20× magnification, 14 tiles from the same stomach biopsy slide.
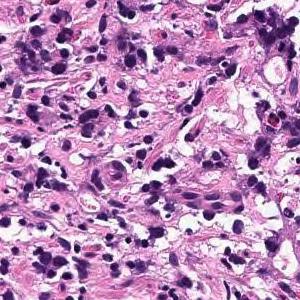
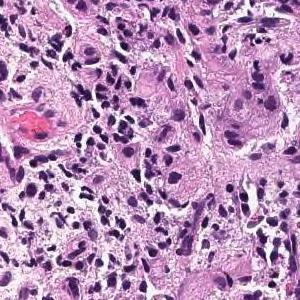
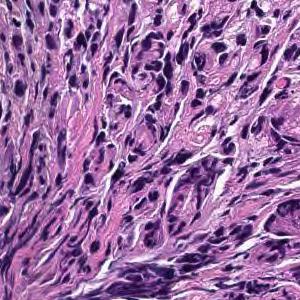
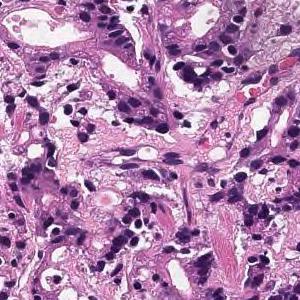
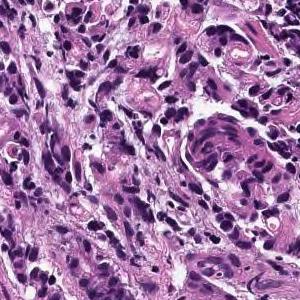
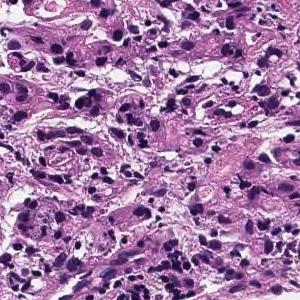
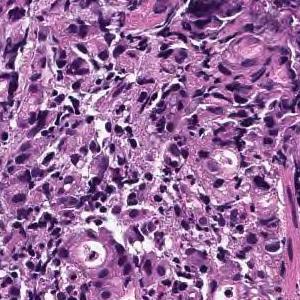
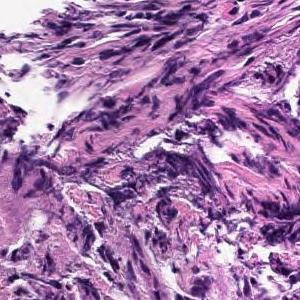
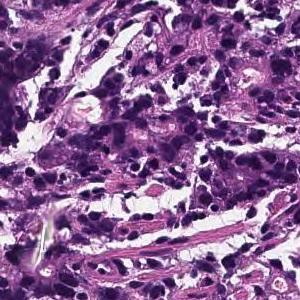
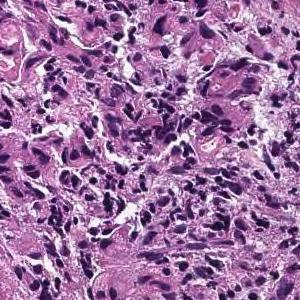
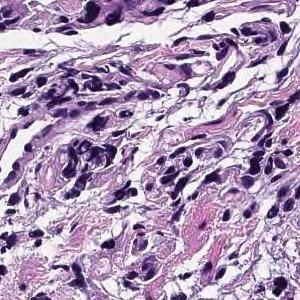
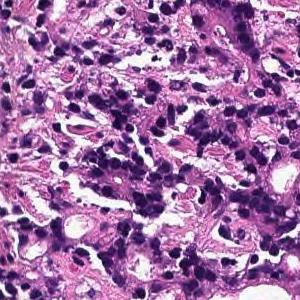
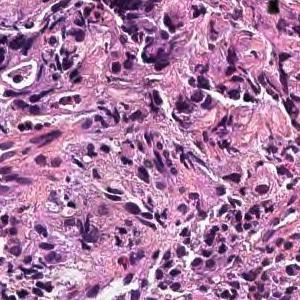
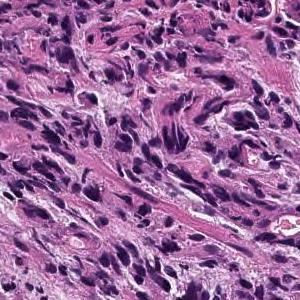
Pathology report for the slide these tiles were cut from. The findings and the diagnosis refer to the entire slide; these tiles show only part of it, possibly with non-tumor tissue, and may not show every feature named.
Tumor tissue consisting of cord-like or small, irregular glandular ducts fused and infiltrated is observed in the superficial epithelium. Poorly differentiated adenocarcinoma, non-solid type
The non-solid type named here is a Japanese Classification of Gastric Carcinoma category.
